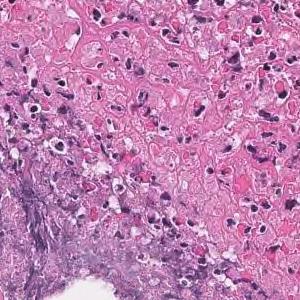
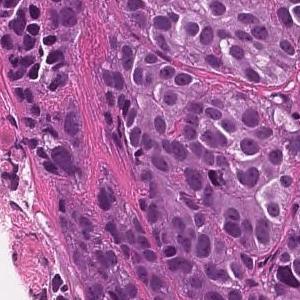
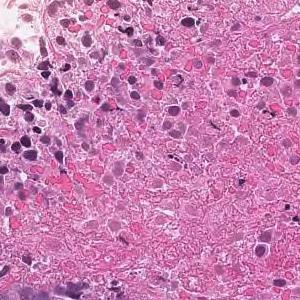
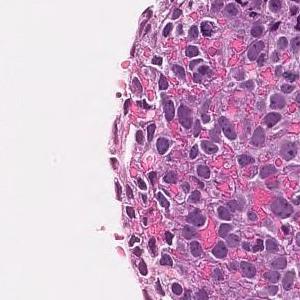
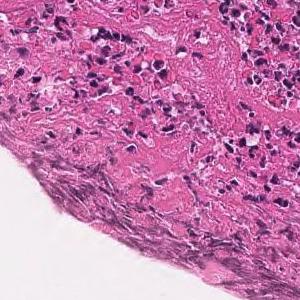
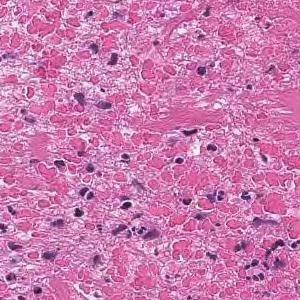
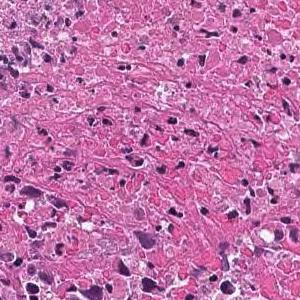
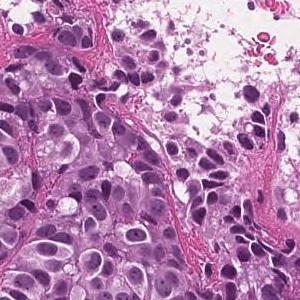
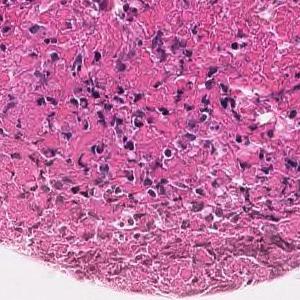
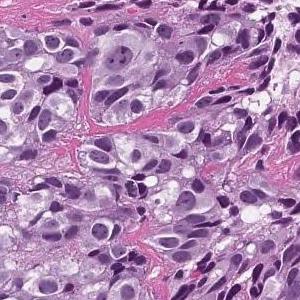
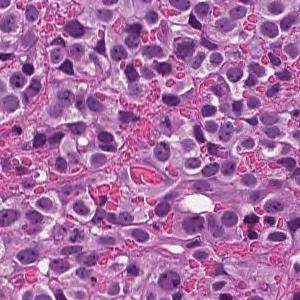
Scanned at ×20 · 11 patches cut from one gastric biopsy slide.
The pathologist's report on the biopsy slide these tiles were taken from. The report and the diagnosis cover the entire slide, so not every feature they name need be visible here, and some tissue shown may not be tumor.
The superficial epithelium shows a large sheet-like shape, and some tumor tissue infiltrates with small irregular ducts. Poorly differentiated adenocarcinoma, solid-type
Subtype: Poorly differentiated adenocarcinoma, solid type, a category of the Japanese Classification of Gastric Carcinoma; in the WHO 2019 classification it is tubular adenocarcinoma, poorly differentiated.
